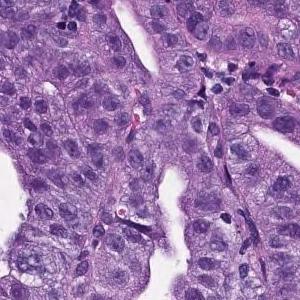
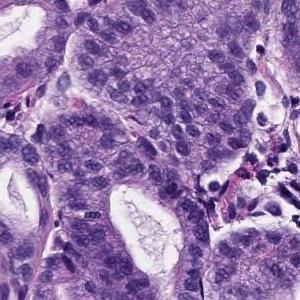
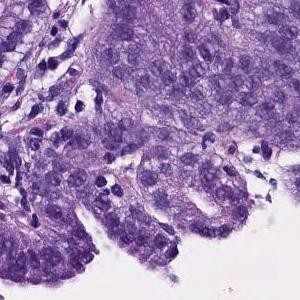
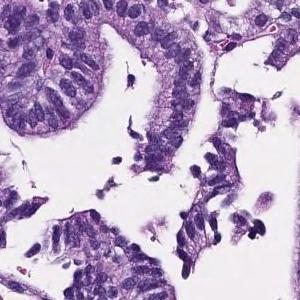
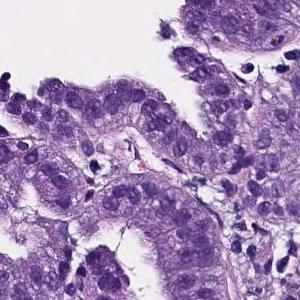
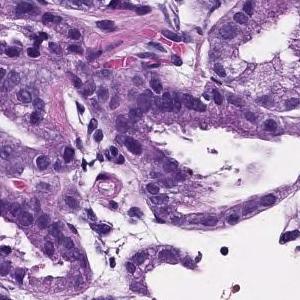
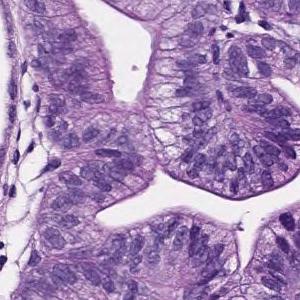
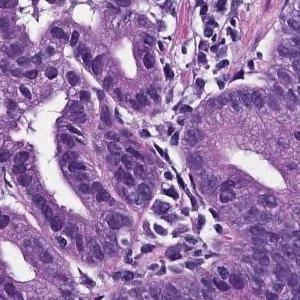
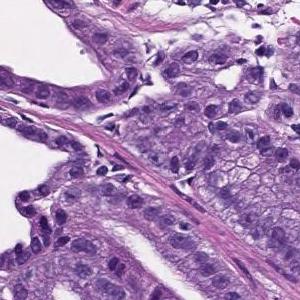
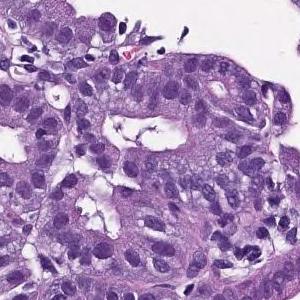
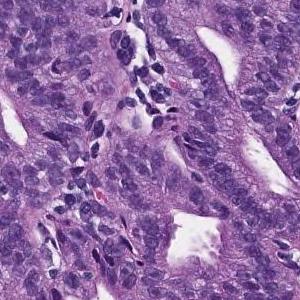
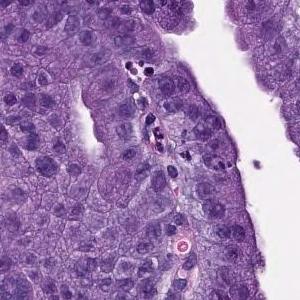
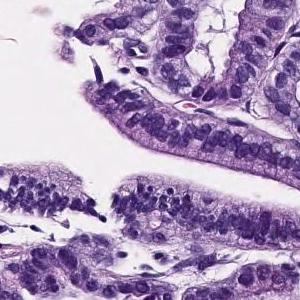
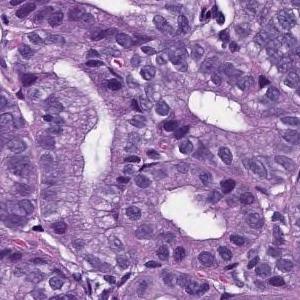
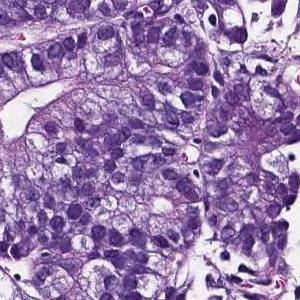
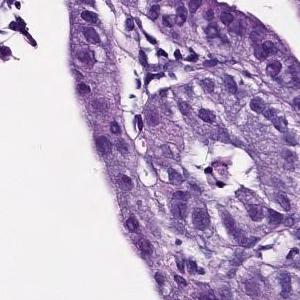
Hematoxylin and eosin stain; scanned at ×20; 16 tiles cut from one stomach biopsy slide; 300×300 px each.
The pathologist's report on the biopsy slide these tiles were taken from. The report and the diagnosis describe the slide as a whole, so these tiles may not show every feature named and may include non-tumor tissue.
On the superficial epithelium, tumor tissue that infiltrates by forming medium-sized papillary or small irregular ducts is observed. Papillary adenocarcinoma
